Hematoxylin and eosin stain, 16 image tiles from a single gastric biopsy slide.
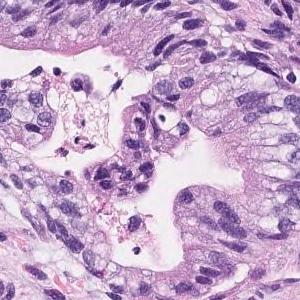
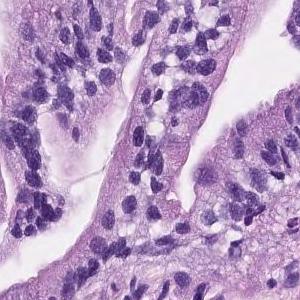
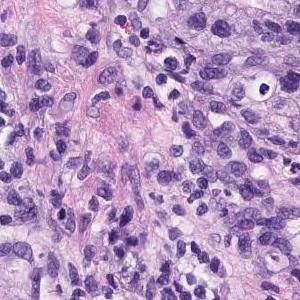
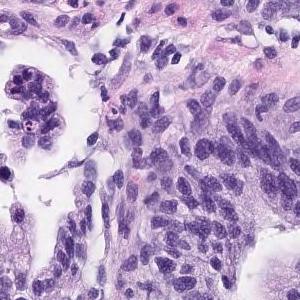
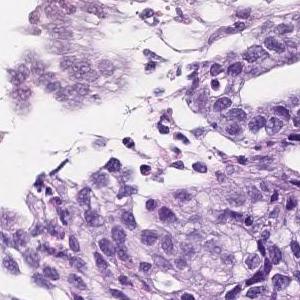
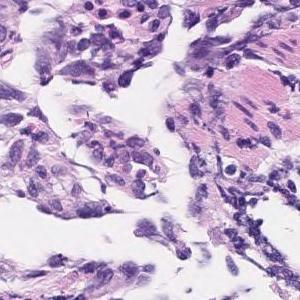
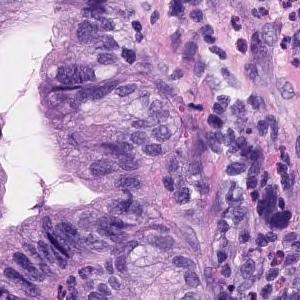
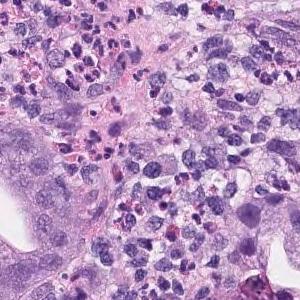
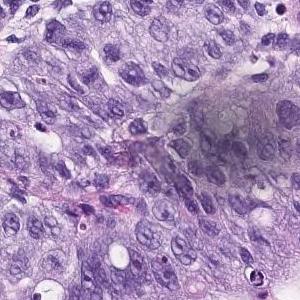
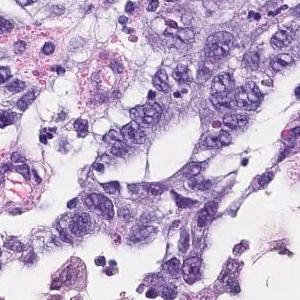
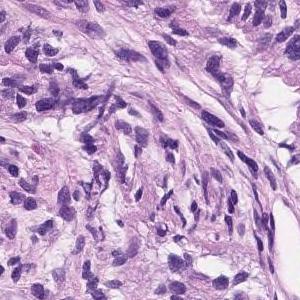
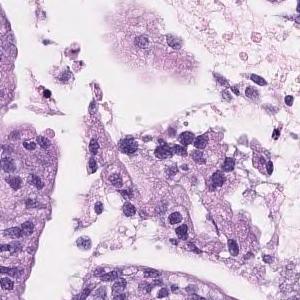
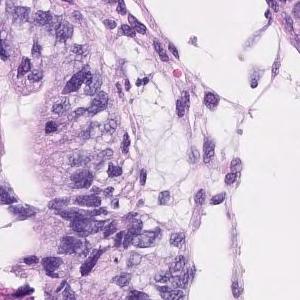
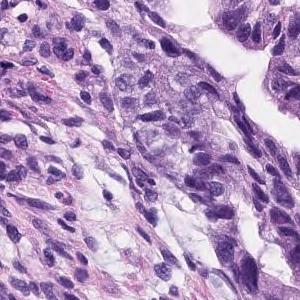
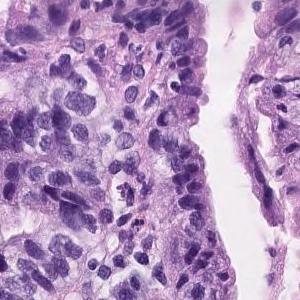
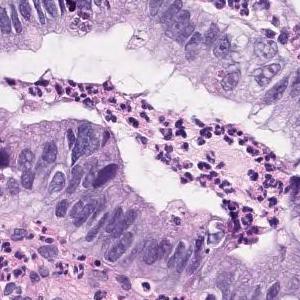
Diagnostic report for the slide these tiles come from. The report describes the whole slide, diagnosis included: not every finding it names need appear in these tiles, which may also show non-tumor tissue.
Tumor cells are large, highly columnar, large club-shaped nuclei, and are associated with chromatin aggregation. Papillary adenocarcinoma.
